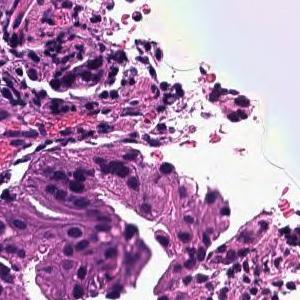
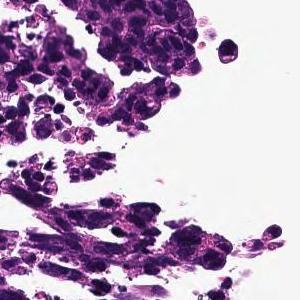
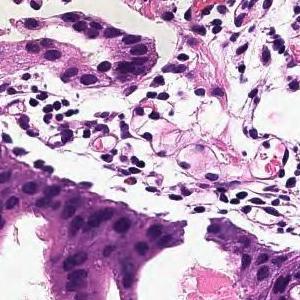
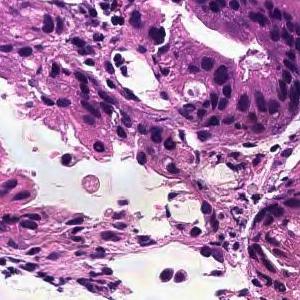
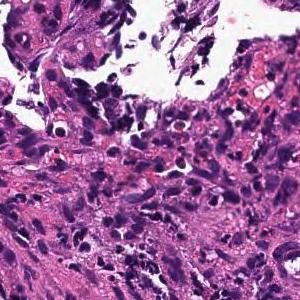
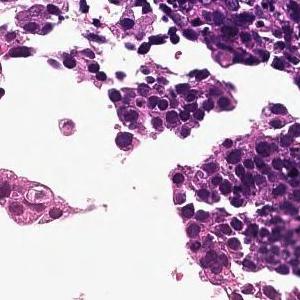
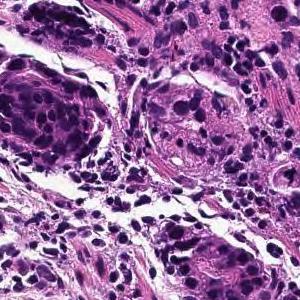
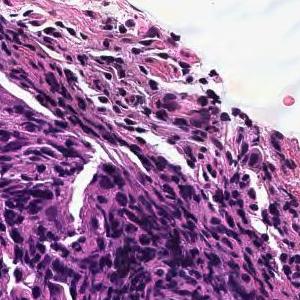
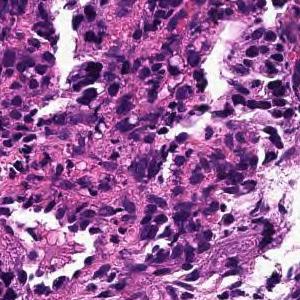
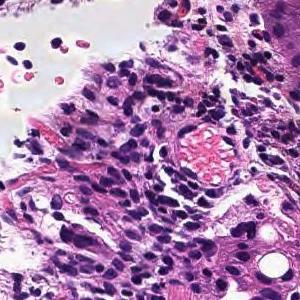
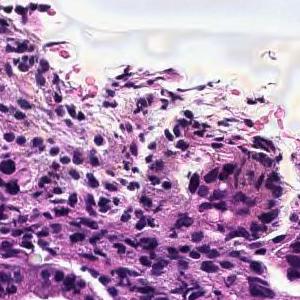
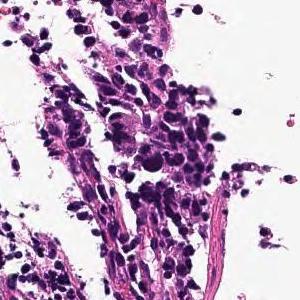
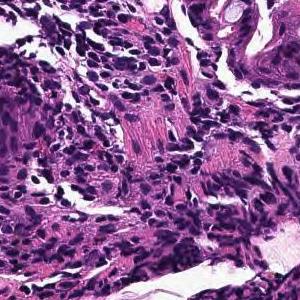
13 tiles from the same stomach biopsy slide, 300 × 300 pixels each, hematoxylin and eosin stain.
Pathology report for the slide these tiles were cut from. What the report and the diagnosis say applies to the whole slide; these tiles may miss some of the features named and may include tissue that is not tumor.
In the superficial epithelium, tumor tissue that invades by forming medium-sized to small, irregular ducts is observed. moderately differentiated tubular adenocarcinoma.
